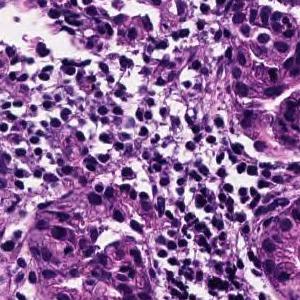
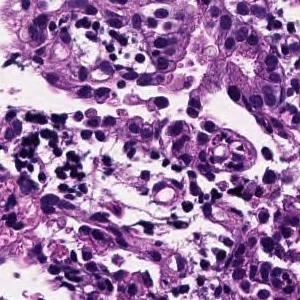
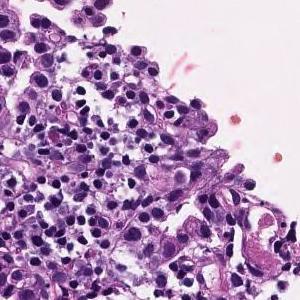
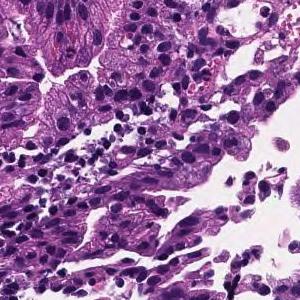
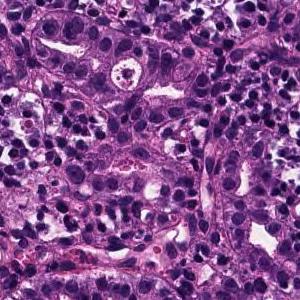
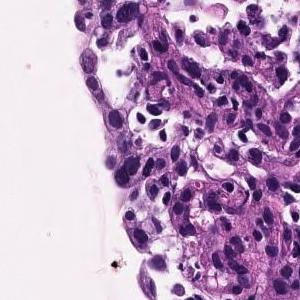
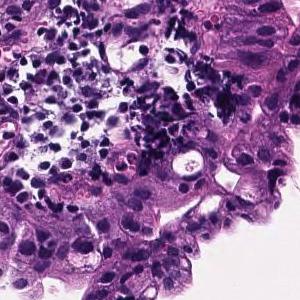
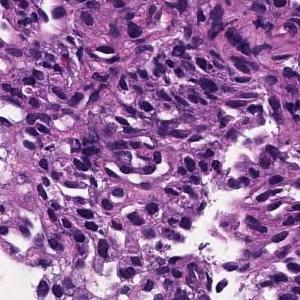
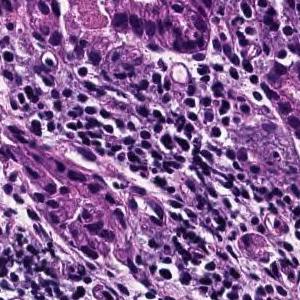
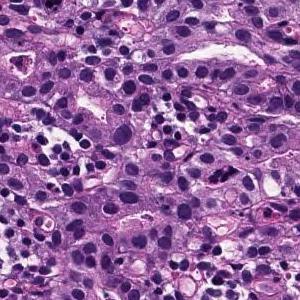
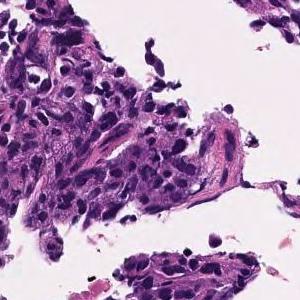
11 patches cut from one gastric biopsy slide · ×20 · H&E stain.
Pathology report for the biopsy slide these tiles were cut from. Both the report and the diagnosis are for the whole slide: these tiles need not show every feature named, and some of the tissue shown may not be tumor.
Medium to small, irregular glandular ducts are formed in the superficial epithelium, and in some cases, the glandular ducts are fused to show solid alveolar lesions and infiltrating tumor tissue is observed. Moderately to poorly differentiated adenocarcinoma.
